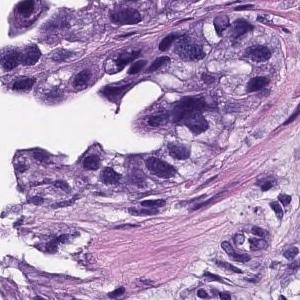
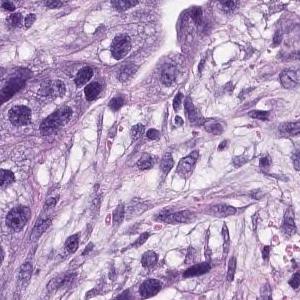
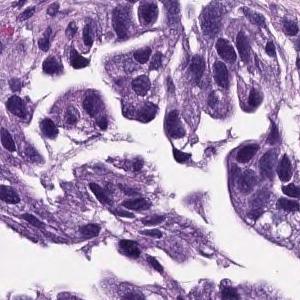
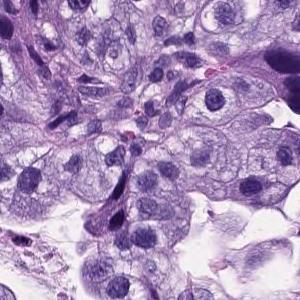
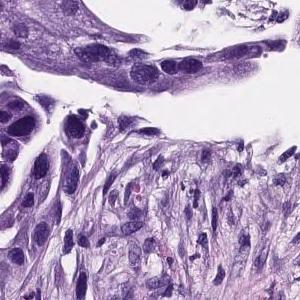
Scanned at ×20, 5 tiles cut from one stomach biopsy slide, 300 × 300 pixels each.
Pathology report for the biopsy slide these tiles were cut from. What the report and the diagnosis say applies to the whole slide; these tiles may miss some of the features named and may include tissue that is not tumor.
gastric mucosal tissue with atypical glandular proliferation arranged in tubules and acini. The tumor cells showed hyperchromatic nuclei, high N/C ratio and loss of polarity. Tubular adenocarcinoma of stomach, moderately differentiated.
Histological subtype: Moderately differentiated tubular adenocarcinoma.
